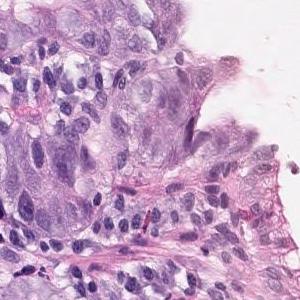
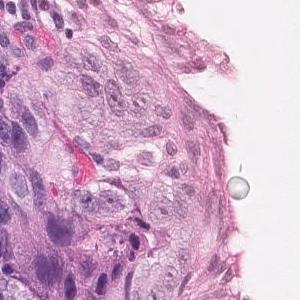
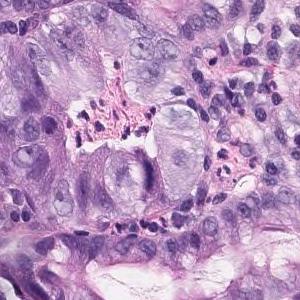
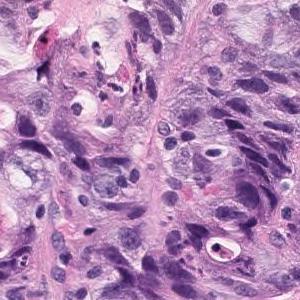
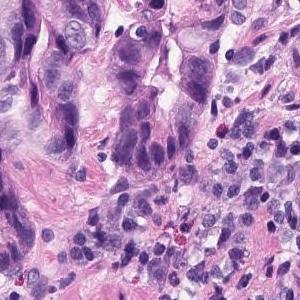
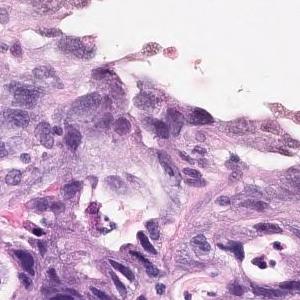
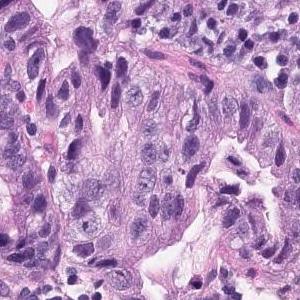
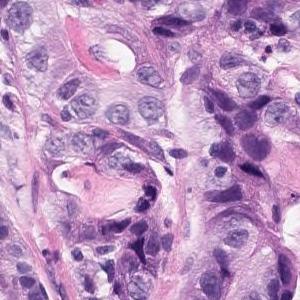
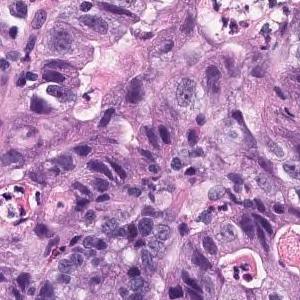
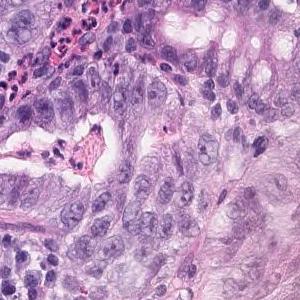
10 image tiles from a single gastric biopsy slide · 300×300 px each · scanned at ×20 · H&E stain.
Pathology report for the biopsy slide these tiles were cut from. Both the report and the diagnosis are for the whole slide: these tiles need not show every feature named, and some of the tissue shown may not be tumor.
In the superficial epithelium, tumor tissue that invades by forming medium-sized to small irregular glandular ducts is observed. Moderately differentiated adenocarcinoma.
Classified as moderately differentiated tubular adenocarcinoma.
